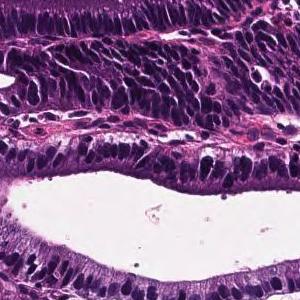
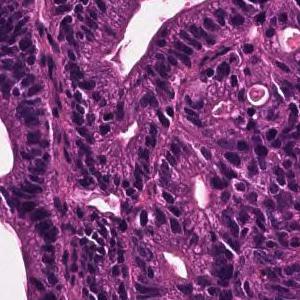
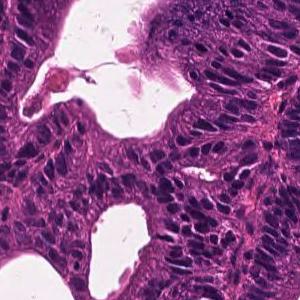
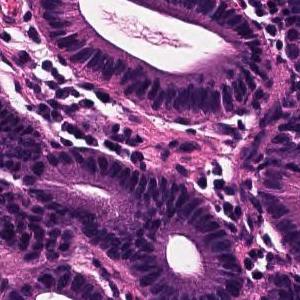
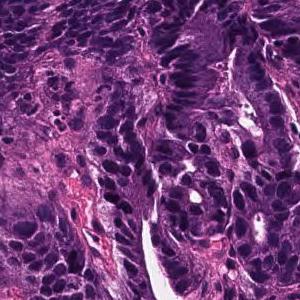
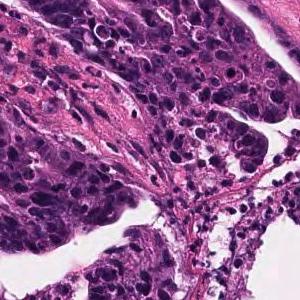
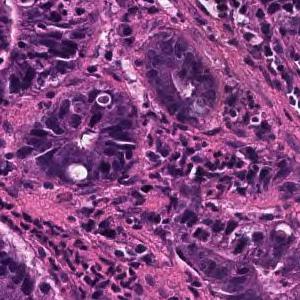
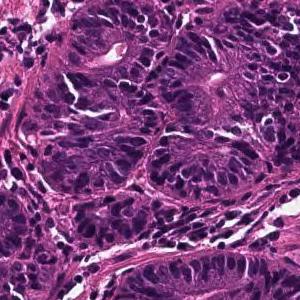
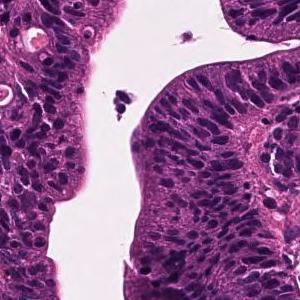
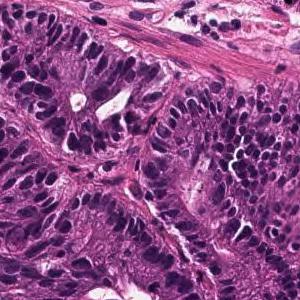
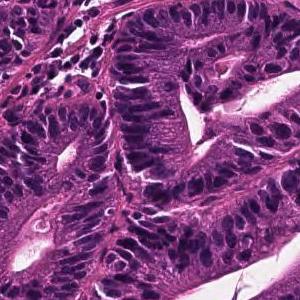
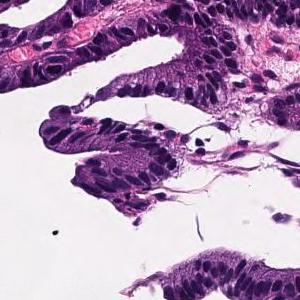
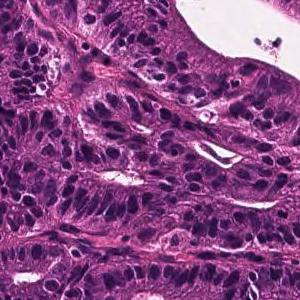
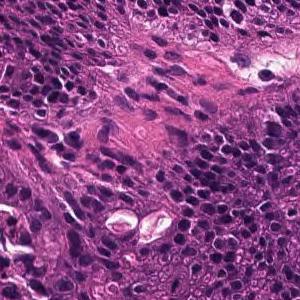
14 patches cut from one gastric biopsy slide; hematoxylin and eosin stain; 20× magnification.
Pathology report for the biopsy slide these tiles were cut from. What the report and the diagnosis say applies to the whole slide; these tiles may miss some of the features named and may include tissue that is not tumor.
Tumor tissue that remains within the superficial epithelium and is infiltrated by large papillary or irregular ducts that fuse with each other is observed. Well differentiated tubular adenocarcinoma
